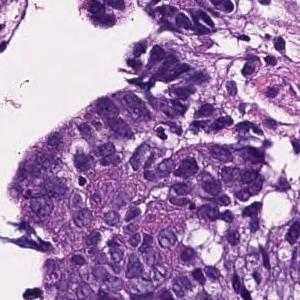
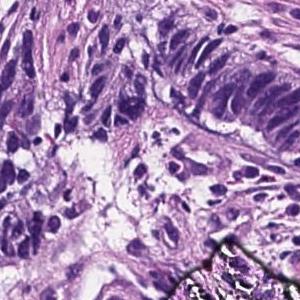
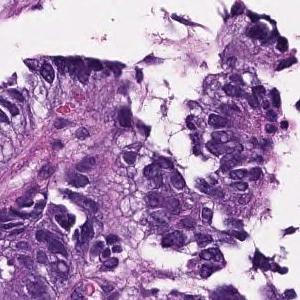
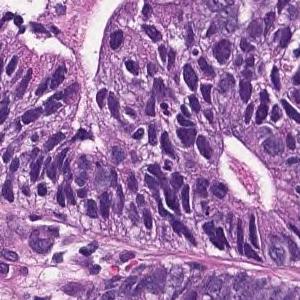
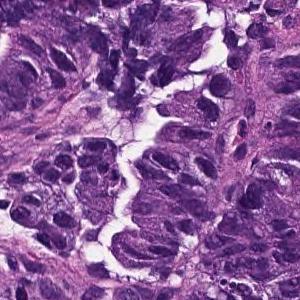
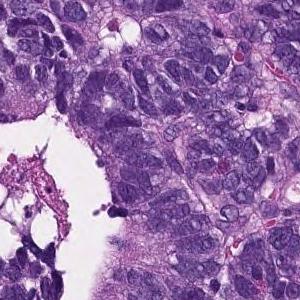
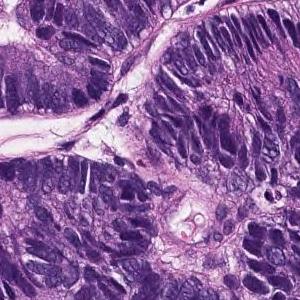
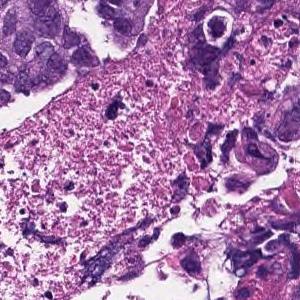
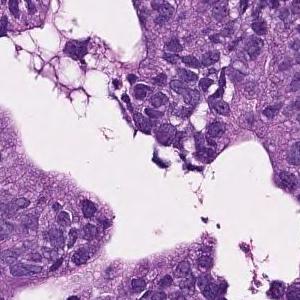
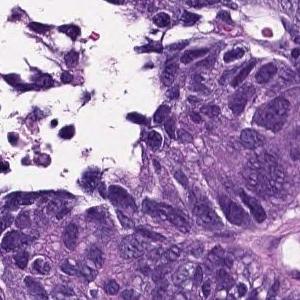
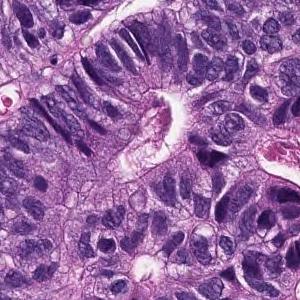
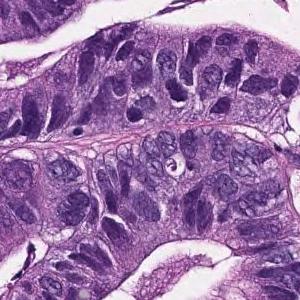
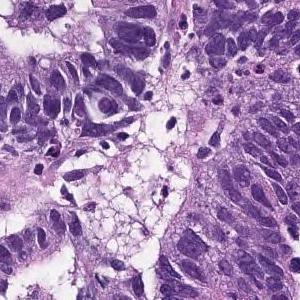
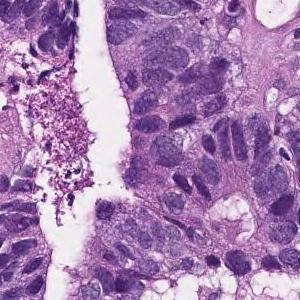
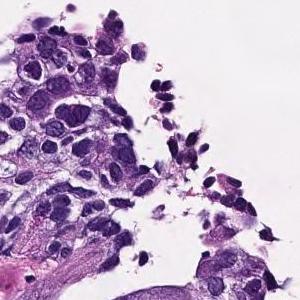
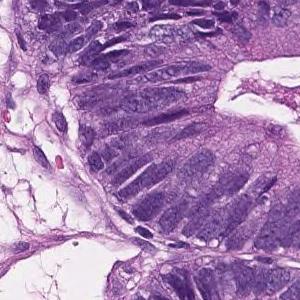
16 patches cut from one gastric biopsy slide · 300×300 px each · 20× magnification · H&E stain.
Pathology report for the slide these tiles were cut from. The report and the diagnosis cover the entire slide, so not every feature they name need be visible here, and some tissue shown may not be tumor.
In the superficial epithelium, tumor tissue that invades by forming medium-sized to small, irregular ducts is observed. moderately differentiated tubular adenocarcinoma.
